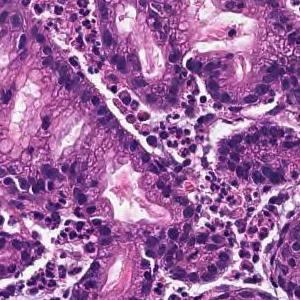
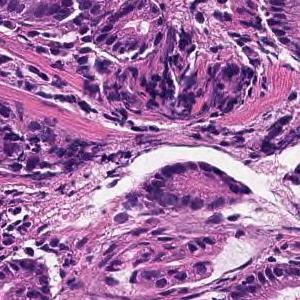
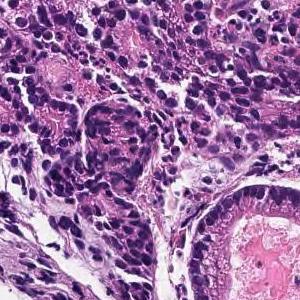
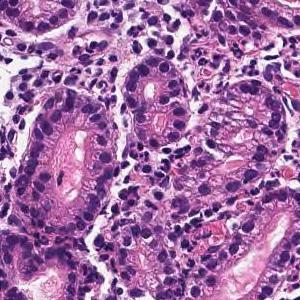
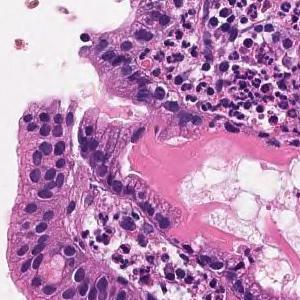
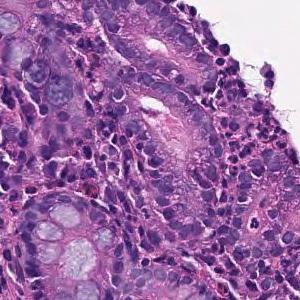
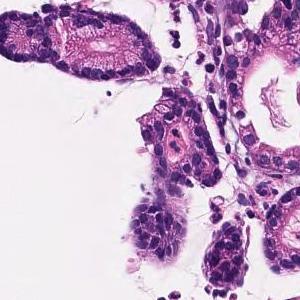
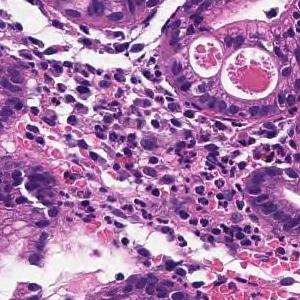
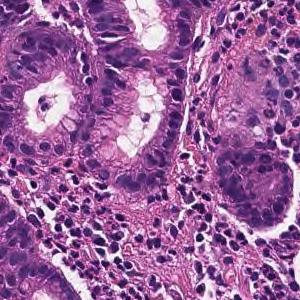
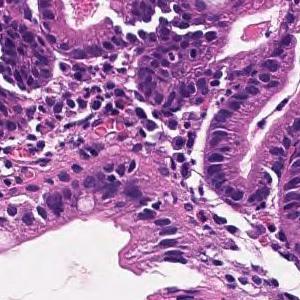
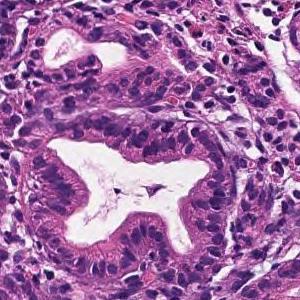
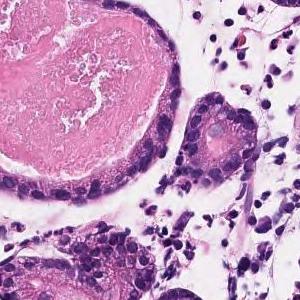
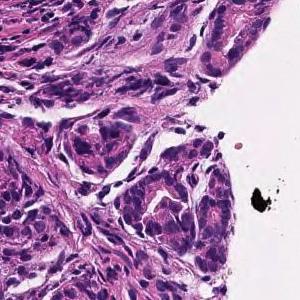
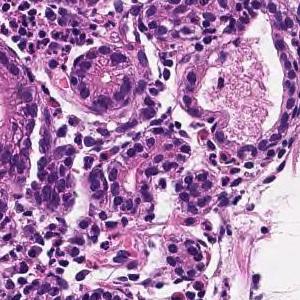
Hematoxylin and eosin stain · scanned at ×20 · 14 patches cut from one gastric biopsy slide · 300×300 px each.
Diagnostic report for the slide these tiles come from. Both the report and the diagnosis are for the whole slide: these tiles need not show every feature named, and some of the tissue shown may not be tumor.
Tumor tissue infiltrated and proliferated with small to medium-sized irregular tubules is observed in the superficial epithelium. Well differentiated tubular adenocarcinoma
